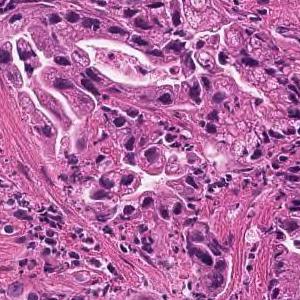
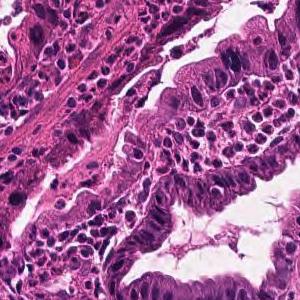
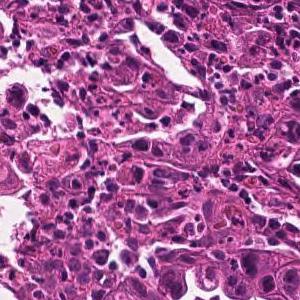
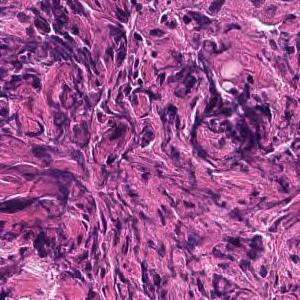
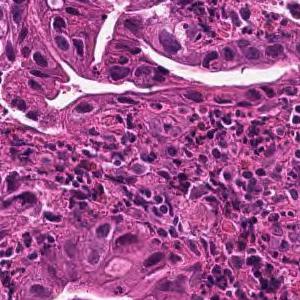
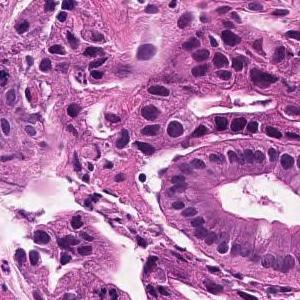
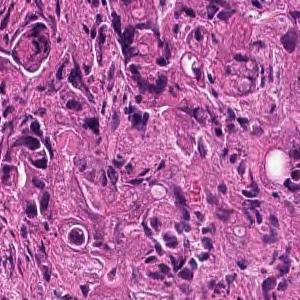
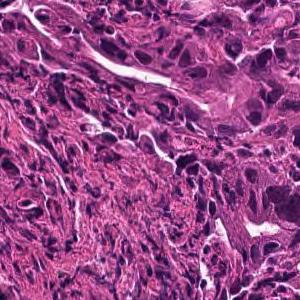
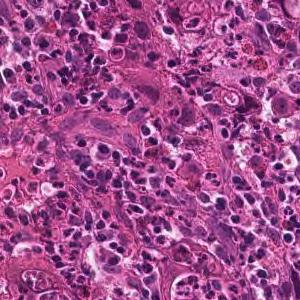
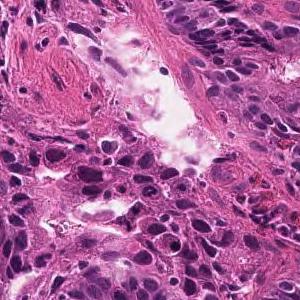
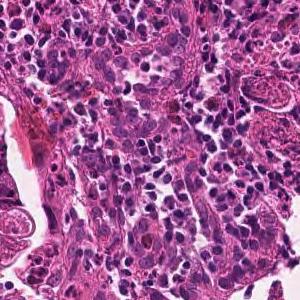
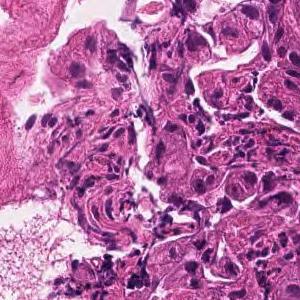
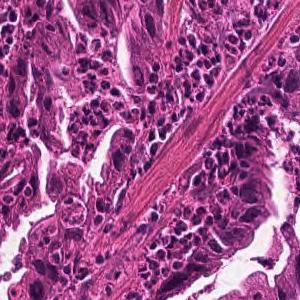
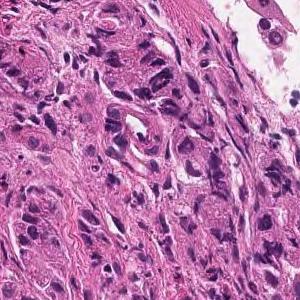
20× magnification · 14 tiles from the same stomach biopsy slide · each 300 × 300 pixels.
Pathology report for the slide these tiles were cut from. The report and the diagnosis describe the slide as a whole, so these tiles may not show every feature named and may include non-tumor tissue.
Medium to small, irregular glandular ducts are formed in the superficial epithelium, and in some cases, the glandular ducts are fused to show solid alveolar lesions and infiltrating tumor tissue is observed. Moderately to poorly differentiated adenocarcinoma.
